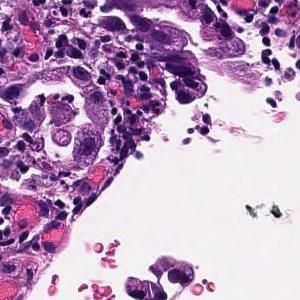
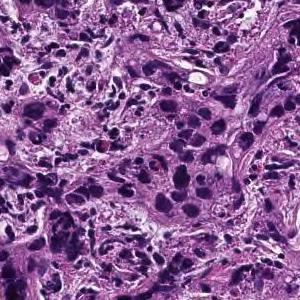
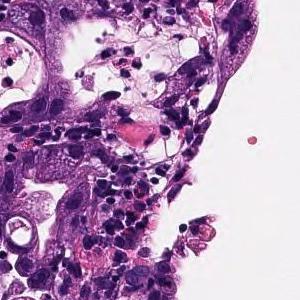
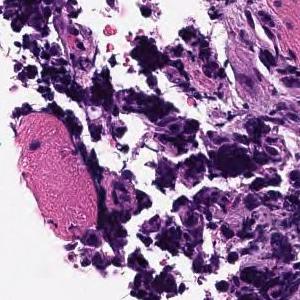
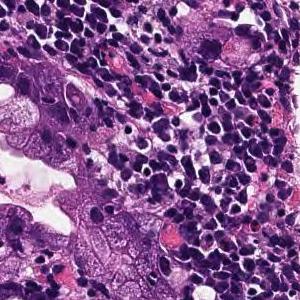
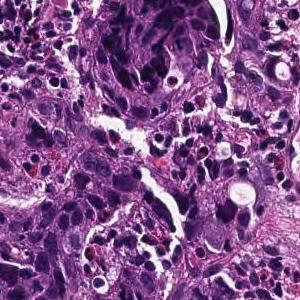
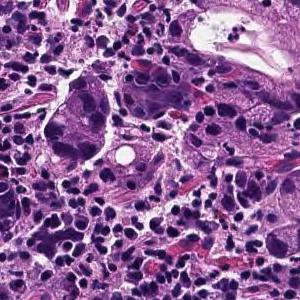
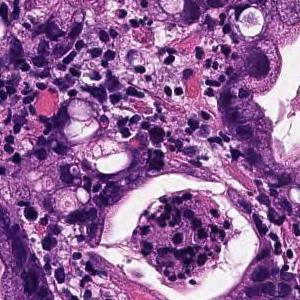
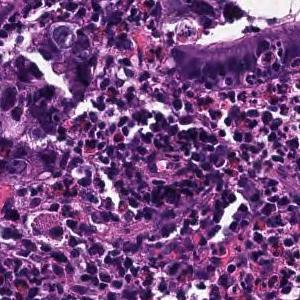
H&E · 20× magnification · 9 tiles cut from one stomach biopsy slide.
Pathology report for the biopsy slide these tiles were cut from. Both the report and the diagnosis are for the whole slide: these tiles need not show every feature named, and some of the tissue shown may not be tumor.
Tumor tissue consisting of medium-sized, cord-like or irregular glandular infiltration is observed in the superficial epithelium. Poorly differentiated adenocarcinoma, non-solid type or moderately differentiated tubular adenocarcinoma
Histological subtype: Moderately to poorly differentiated adenocarcinoma.
"Non-solid type" is a category of the Japanese Classification of Gastric Carcinoma.
